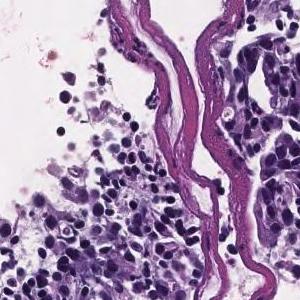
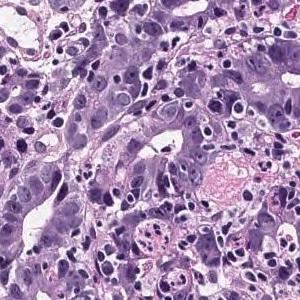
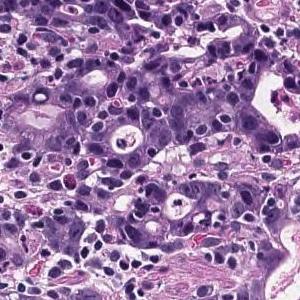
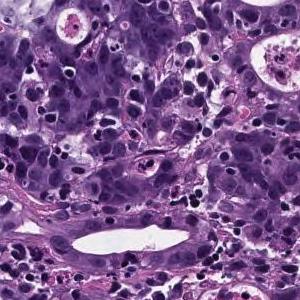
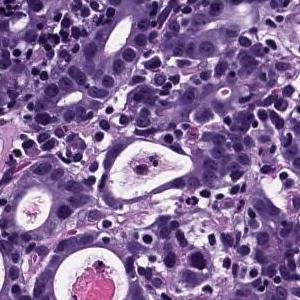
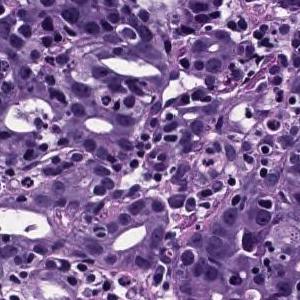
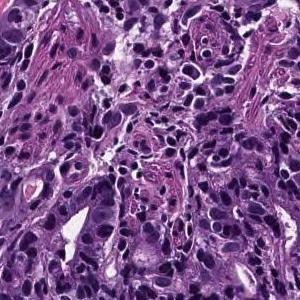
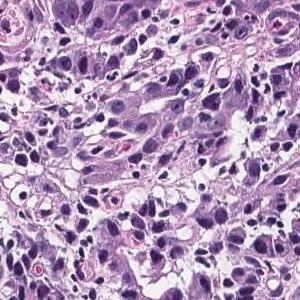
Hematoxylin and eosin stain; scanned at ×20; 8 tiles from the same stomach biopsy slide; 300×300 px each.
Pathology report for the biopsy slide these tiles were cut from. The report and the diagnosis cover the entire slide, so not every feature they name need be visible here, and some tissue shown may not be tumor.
In the superficial epithelium, tumor tissue that invades by forming medium-sized to small, irregular ducts is observed. moderately differentiated tubular adenocarcinoma.
